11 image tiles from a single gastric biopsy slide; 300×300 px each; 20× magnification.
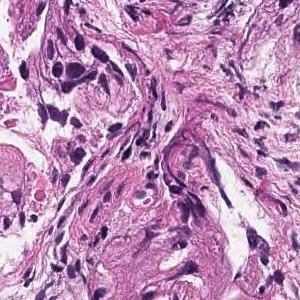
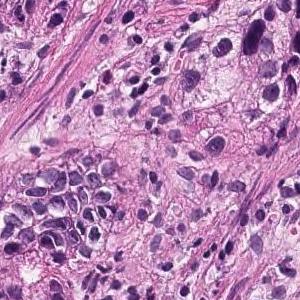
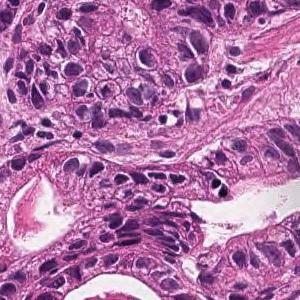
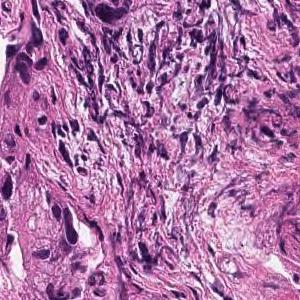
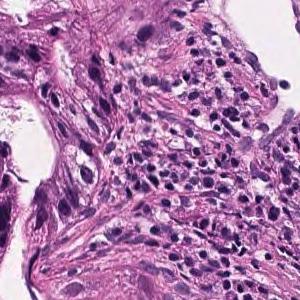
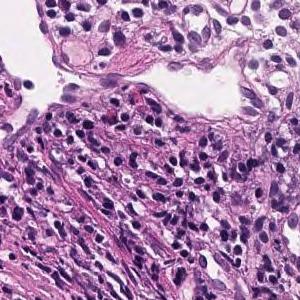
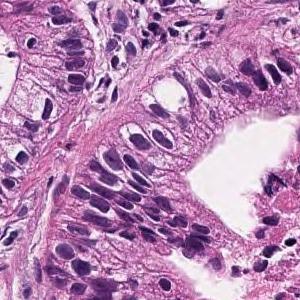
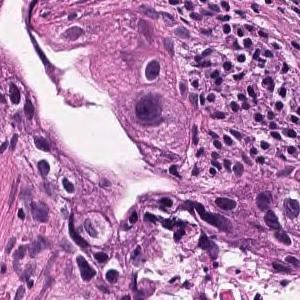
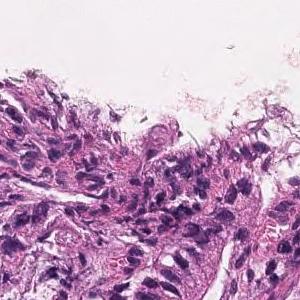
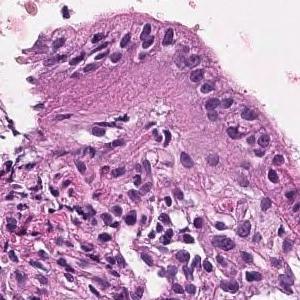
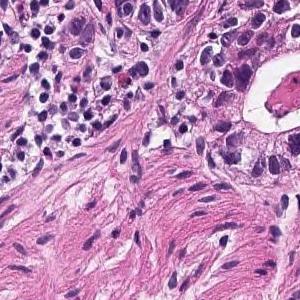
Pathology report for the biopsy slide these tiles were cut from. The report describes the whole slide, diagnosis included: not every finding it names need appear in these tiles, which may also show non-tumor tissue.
From the superficial epithelium to the muscularis mucosae, tumor tissue infiltrating by forming medium-sized irregular gland ducts is observed. Large tumor cells exhibit large nucleus and hyperchromatism. Well differentiated tubular adenocarcinoma
